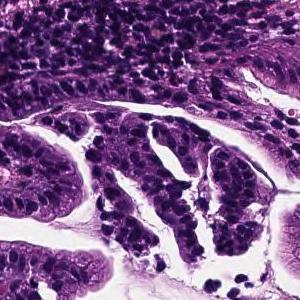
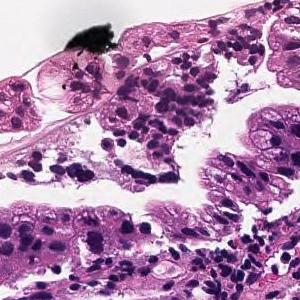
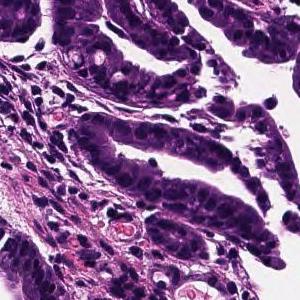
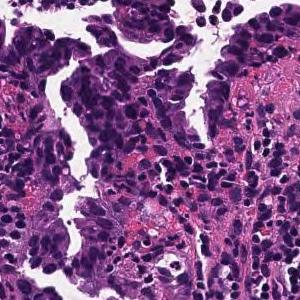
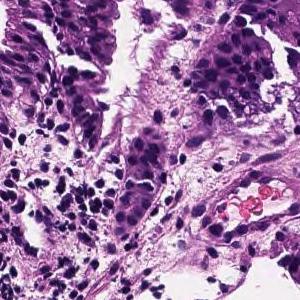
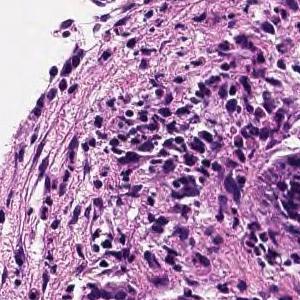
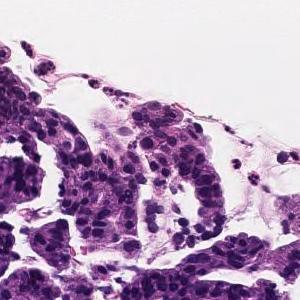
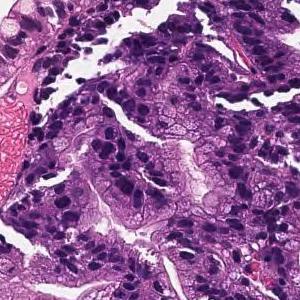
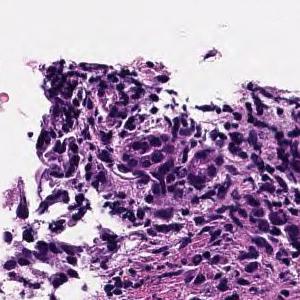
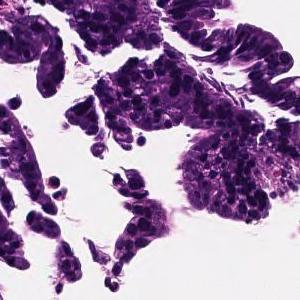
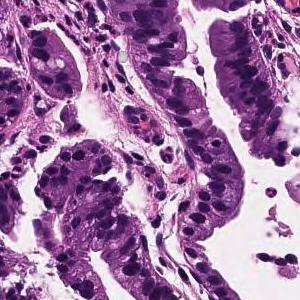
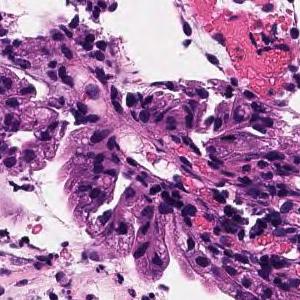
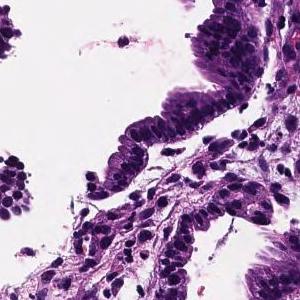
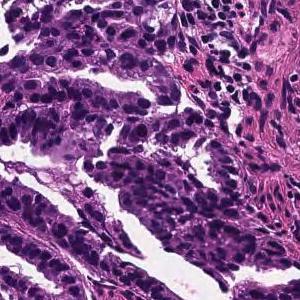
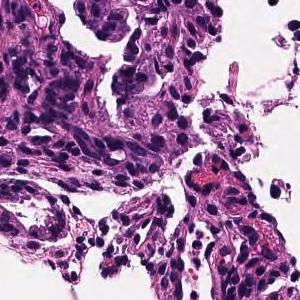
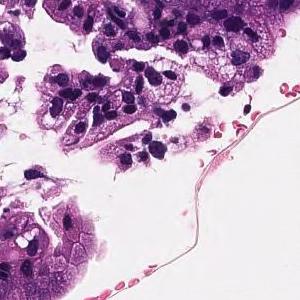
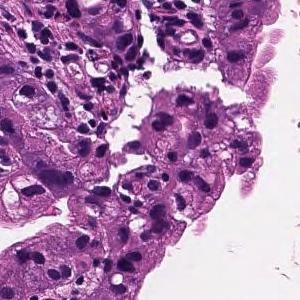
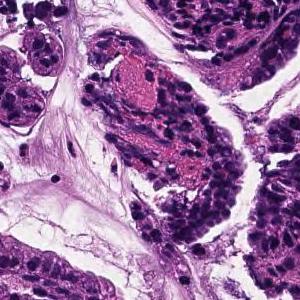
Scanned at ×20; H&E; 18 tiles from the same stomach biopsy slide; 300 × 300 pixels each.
Diagnostic report for the slide these tiles come from. What the report and the diagnosis say applies to the whole slide; these tiles may miss some of the features named and may include tissue that is not tumor.
On the superficial epithelium, tumor tissue that infiltrates by forming medium-sized papillary or small irregular ducts is observed. Papillary adenocarcinoma
